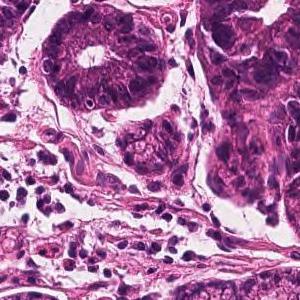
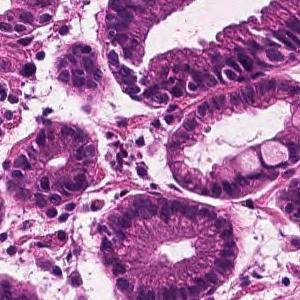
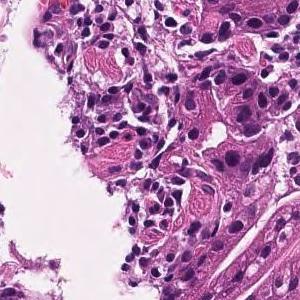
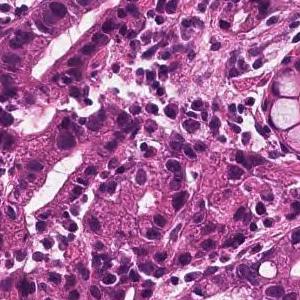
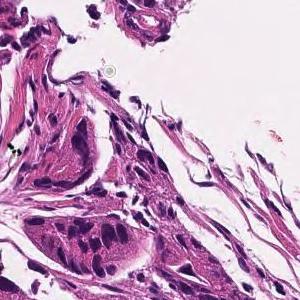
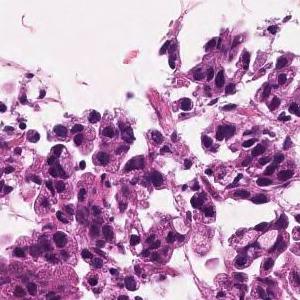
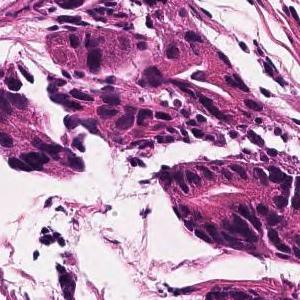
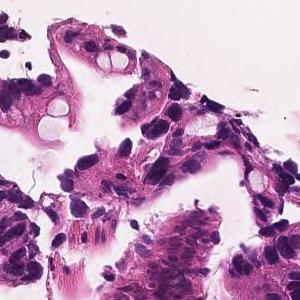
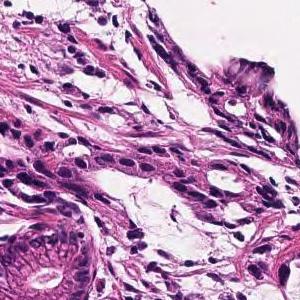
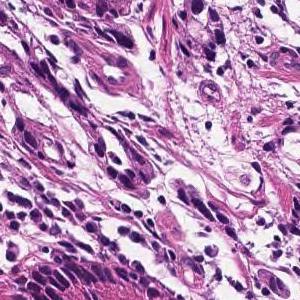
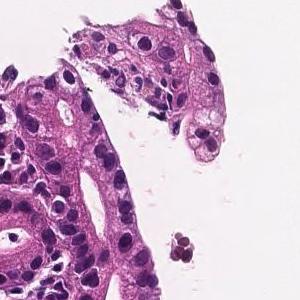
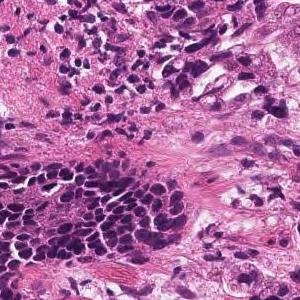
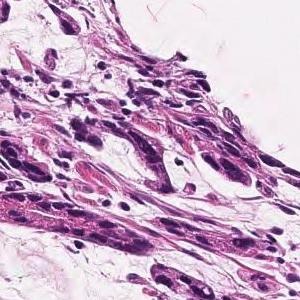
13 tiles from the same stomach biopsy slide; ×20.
Diagnostic report for the slide these tiles come from. The report describes the whole slide, diagnosis included: not every finding it names need appear in these tiles, which may also show non-tumor tissue.
In the superficial epithelium, tumor tissue that invades by forming medium-sized to small, irregular ducts is observed. moderately differentiated tubular adenocarcinoma.
